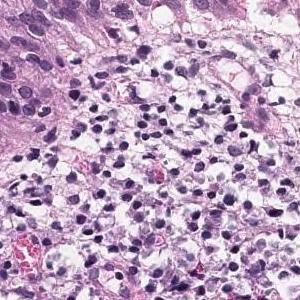
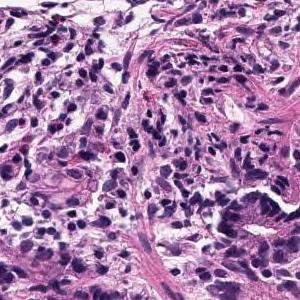
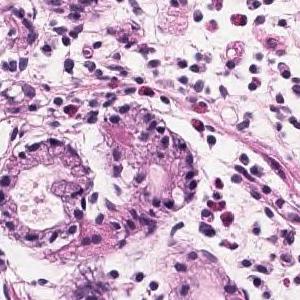
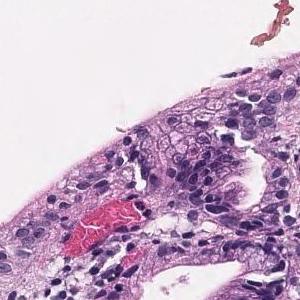
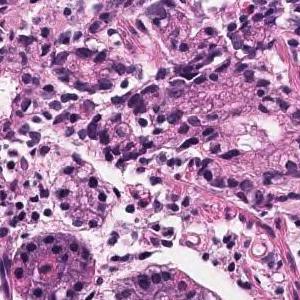
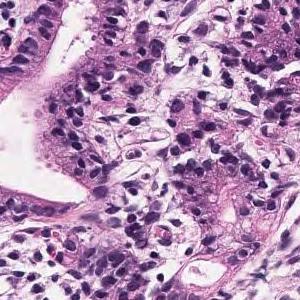
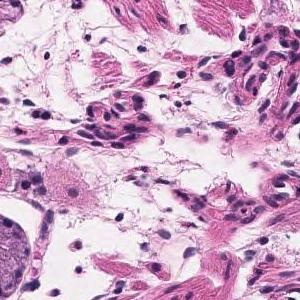
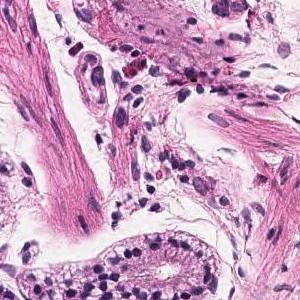
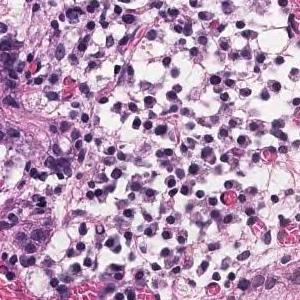
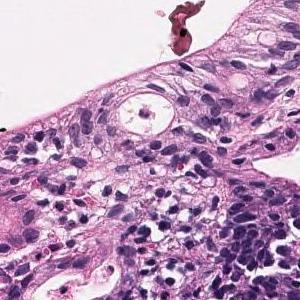
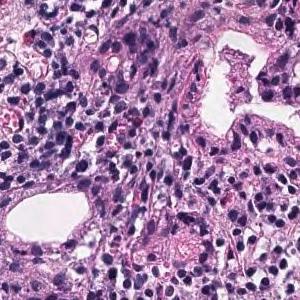
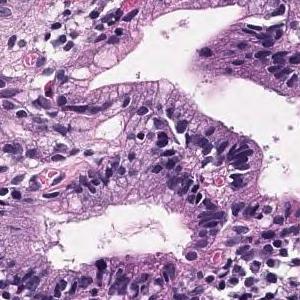
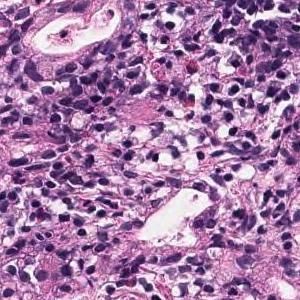
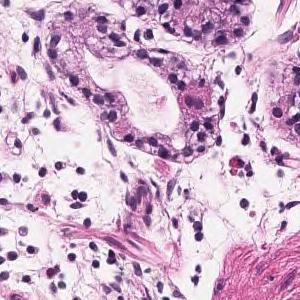
Hematoxylin and eosin stain, 20× magnification, 14 image tiles from a single gastric biopsy slide, 300×300 px each.
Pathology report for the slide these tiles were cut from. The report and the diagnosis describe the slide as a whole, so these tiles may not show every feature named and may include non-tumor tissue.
Tumor tissue that grows and grows is observed, showing a medium-sized round or irregular duct. moderately differentiated tubular adenocarcinoma
